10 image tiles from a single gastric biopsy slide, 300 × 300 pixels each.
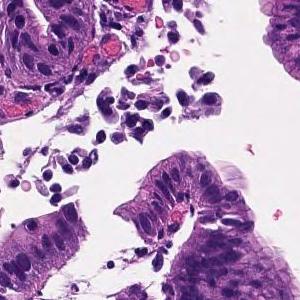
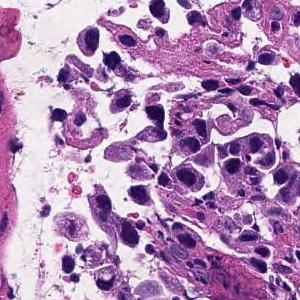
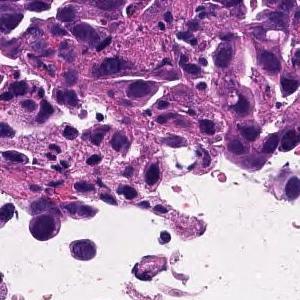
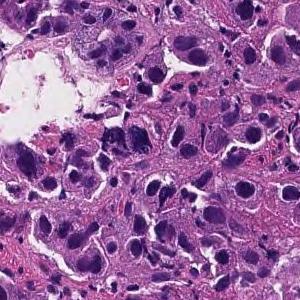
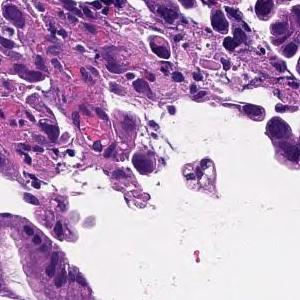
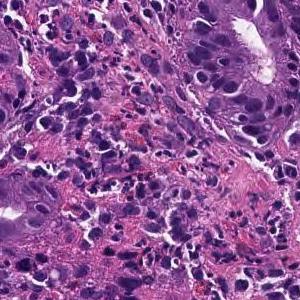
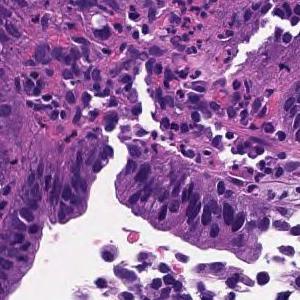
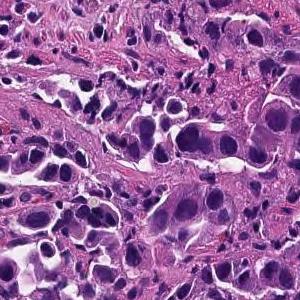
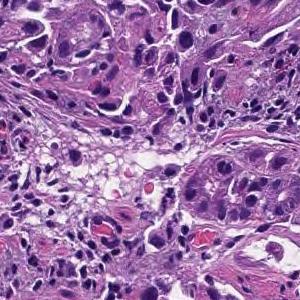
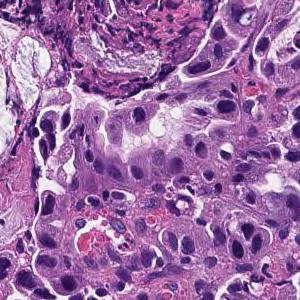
The pathologist's report on the biopsy slide these tiles were taken from. The report and the diagnosis cover the entire slide, so not every feature they name need be visible here, and some tissue shown may not be tumor.
Tumor tissue consisting of medium-sized, cord-like or irregular glandular infiltration is observed in the superficial epithelium. Poorly differentiated adenocarcinoma, non-solid type or moderately differentiated tubular adenocarcinoma
Histologic type: Moderately to poorly differentiated adenocarcinoma.
The term "non-solid type" comes from the Japanese Classification of Gastric Carcinoma.
